Hematoxylin and eosin stain · scanned at ×20 · 14 image tiles from a single gastric biopsy slide.
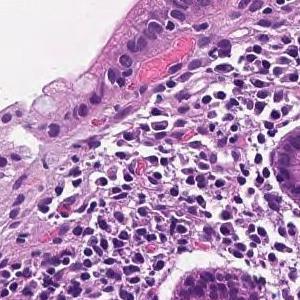
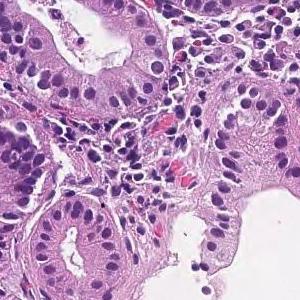
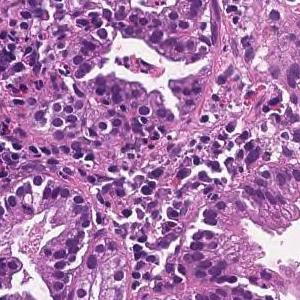
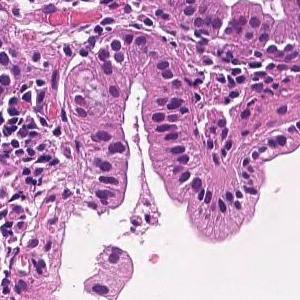
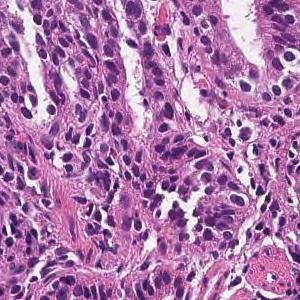
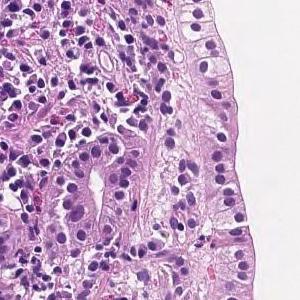
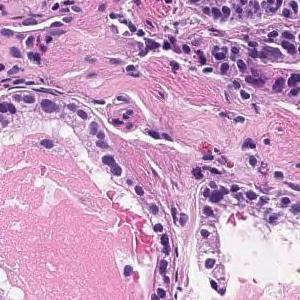
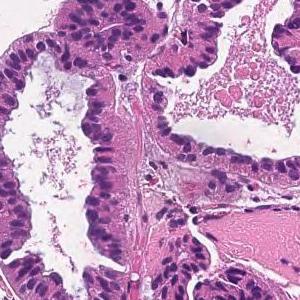
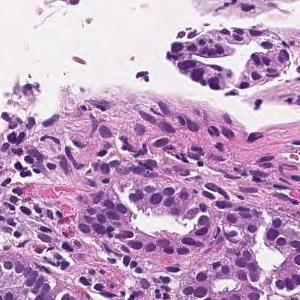
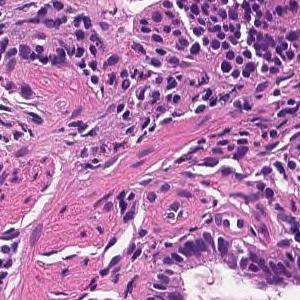
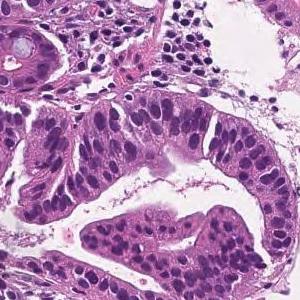
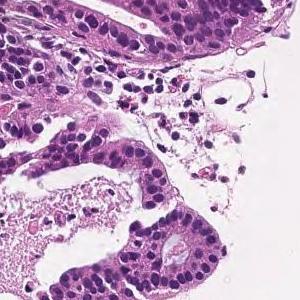
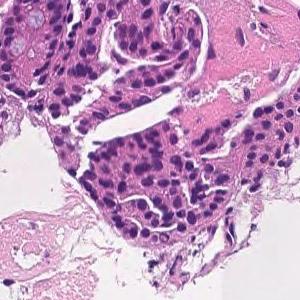
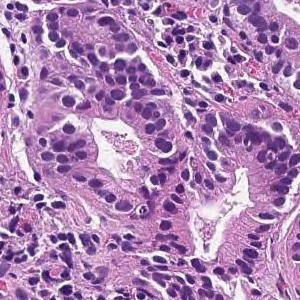
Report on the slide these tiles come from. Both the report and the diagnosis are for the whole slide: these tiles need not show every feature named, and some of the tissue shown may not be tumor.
On the superficial epithelium, tumor tissue that infiltrates by forming medium-sized papillary or small irregular ducts is observed. Papillary adenocarcinoma (Papillary adenocarcinoma)
Histological subtype: Papillary adenocarcinoma.
